Scanned at ×20; H&E stain; 7 tiles from the same stomach biopsy slide.
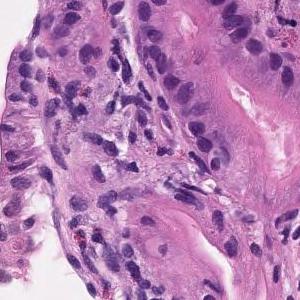
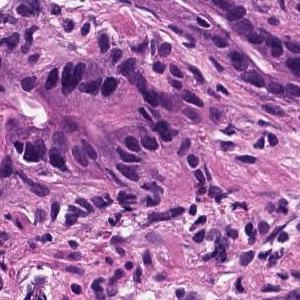
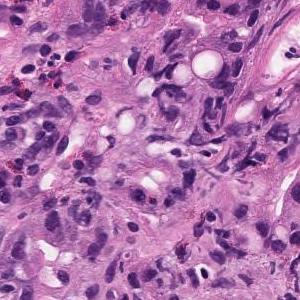
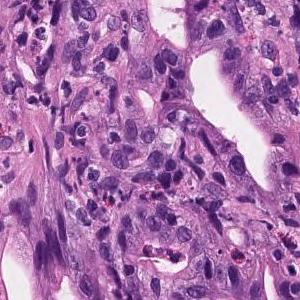
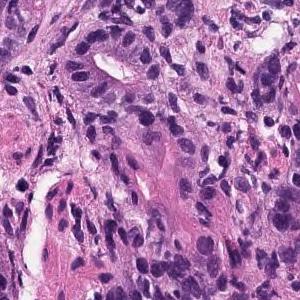
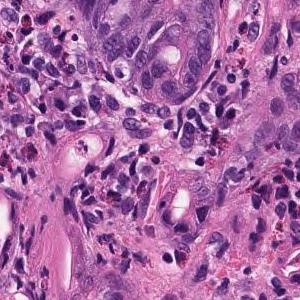
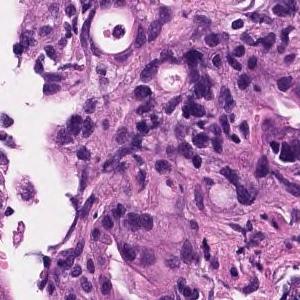
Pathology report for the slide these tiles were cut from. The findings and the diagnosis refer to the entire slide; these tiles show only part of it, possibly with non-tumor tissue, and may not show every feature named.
moderately differentiated tubular adenocarcinoma, Poorly differentiated adenocarcinoma
Dataset label: poorly differentiated adenocarcinoma, solid type, a category of the Japanese Classification of Gastric Carcinoma; in the WHO 2019 classification it is tubular adenocarcinoma, poorly differentiated.
